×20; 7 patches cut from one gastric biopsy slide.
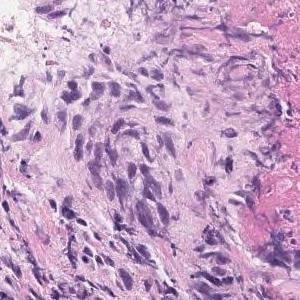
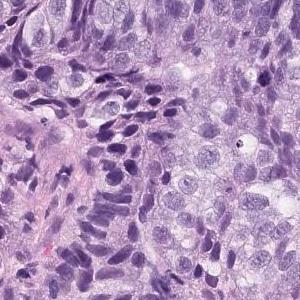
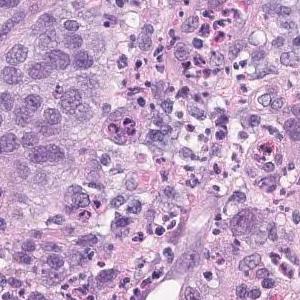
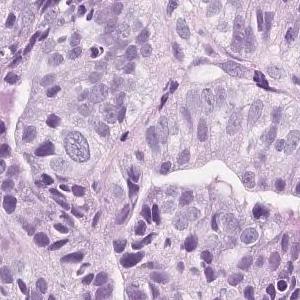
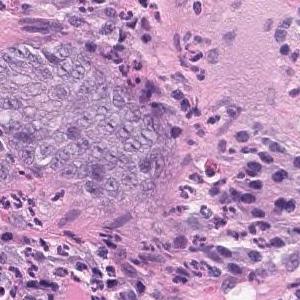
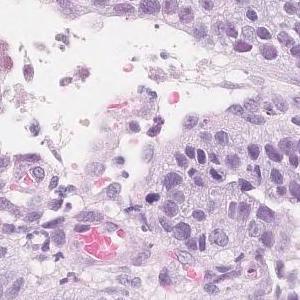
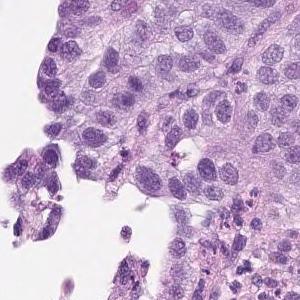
Pathology report for the slide these tiles were cut from. The findings and the diagnosis refer to the entire slide; these tiles show only part of it, possibly with non-tumor tissue, and may not show every feature named.
Tumor tissue in which highly columnar atypical epithelial cells with nuclear enlargement and increased nuclear chromatin show papillary to papillary ductal structure and proliferate is observed. Papillary adenocarcinoma.
